16 image tiles from a single gastric biopsy slide · hematoxylin and eosin stain.
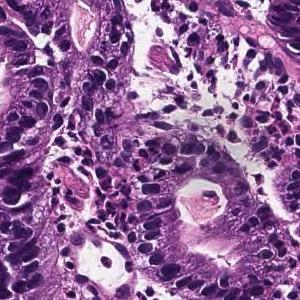
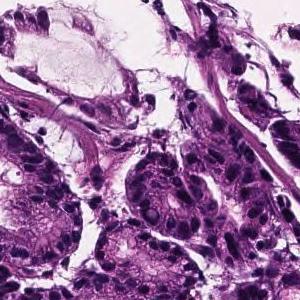
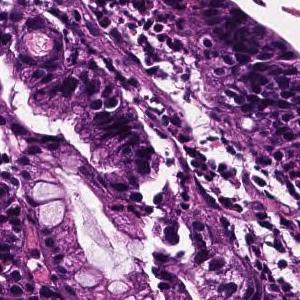
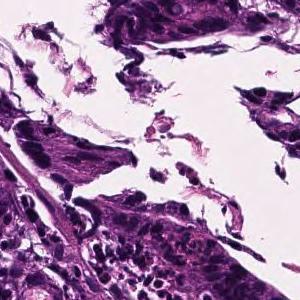
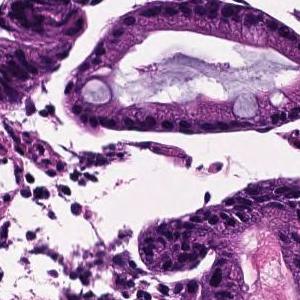
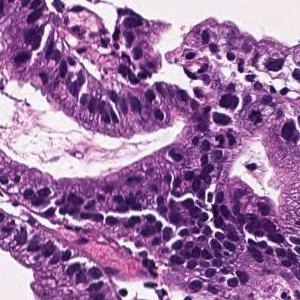
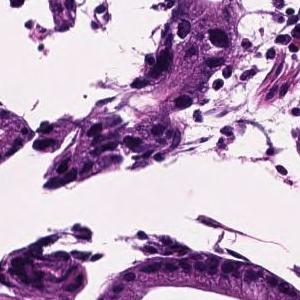
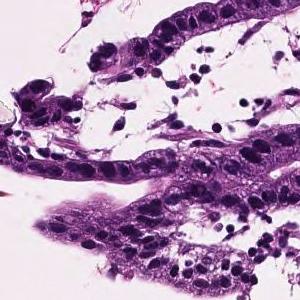
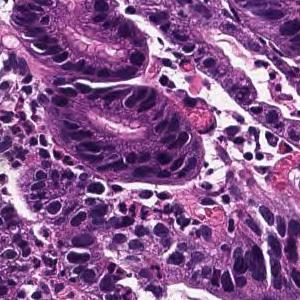
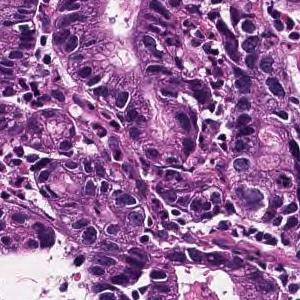
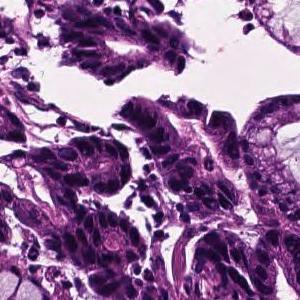
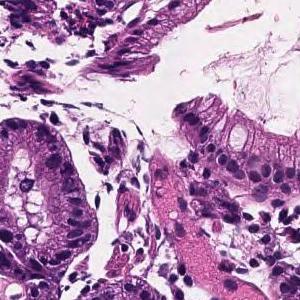
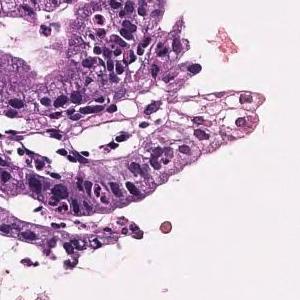
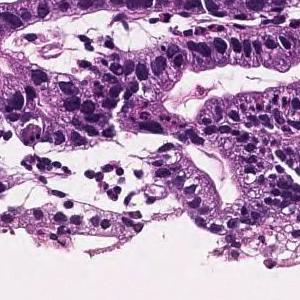
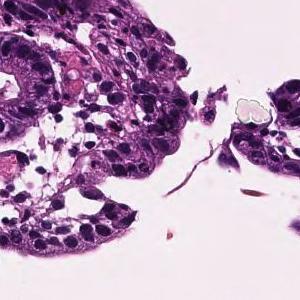
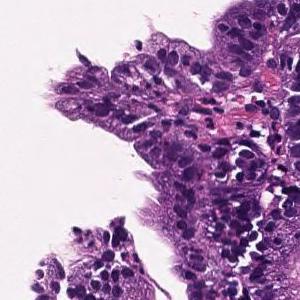
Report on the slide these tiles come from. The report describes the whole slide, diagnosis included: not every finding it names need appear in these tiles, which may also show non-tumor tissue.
On the superficial epithelium, tumor tissue that infiltrates by forming medium-sized papillary or small irregular ducts is observed. Papillary adenocarcinoma
